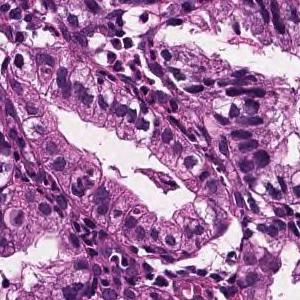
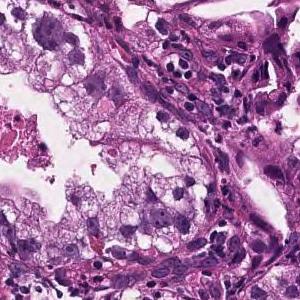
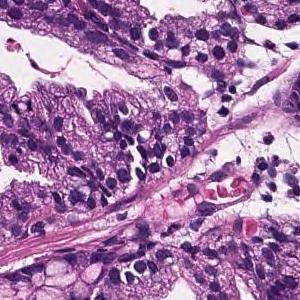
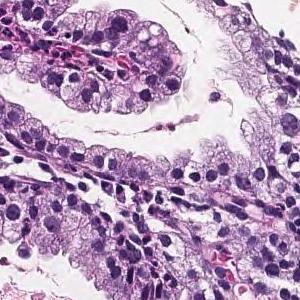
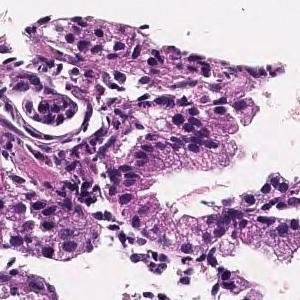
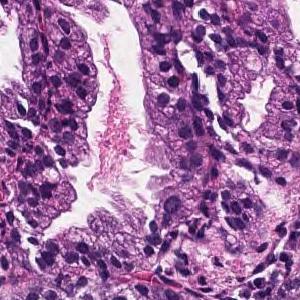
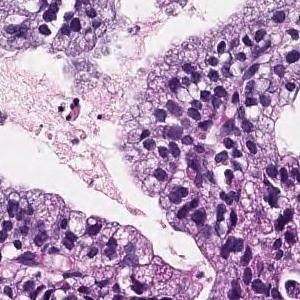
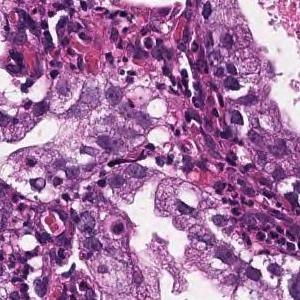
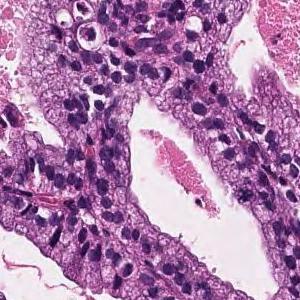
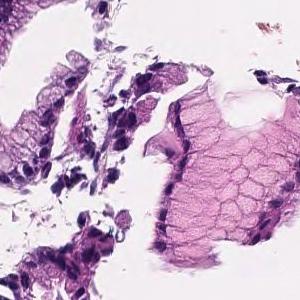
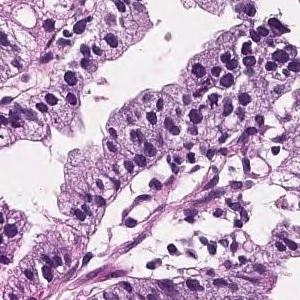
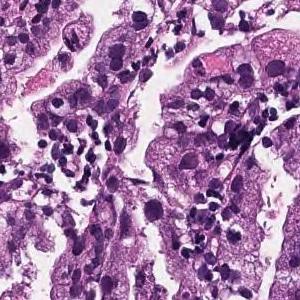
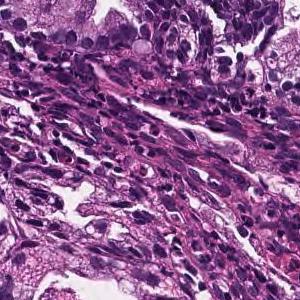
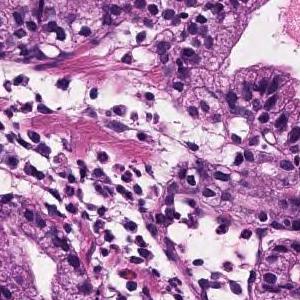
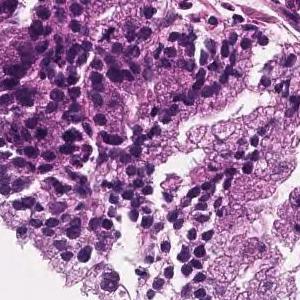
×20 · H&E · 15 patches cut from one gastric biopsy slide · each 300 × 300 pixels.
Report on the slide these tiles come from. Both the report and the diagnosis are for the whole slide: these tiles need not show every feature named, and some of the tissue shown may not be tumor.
In the superficial epithelium, tumor tissue that infiltrates by forming medium-sized papillary or small irregular ducts is observed. Papillary adenocarcinoma
